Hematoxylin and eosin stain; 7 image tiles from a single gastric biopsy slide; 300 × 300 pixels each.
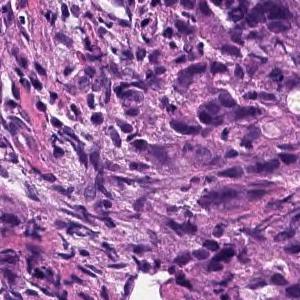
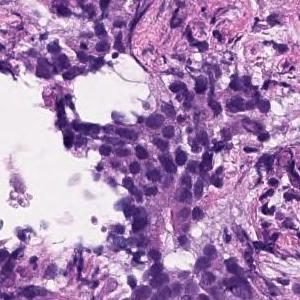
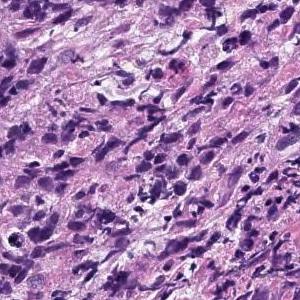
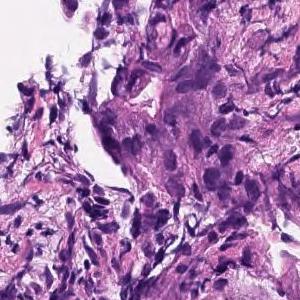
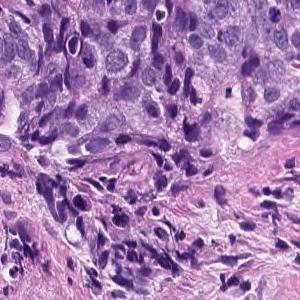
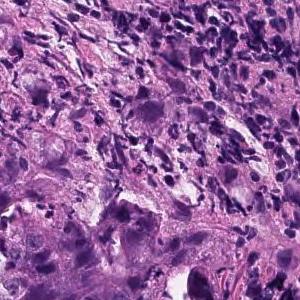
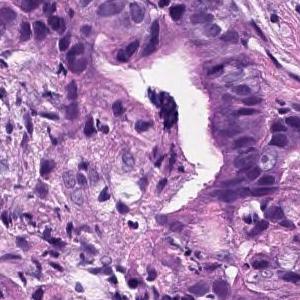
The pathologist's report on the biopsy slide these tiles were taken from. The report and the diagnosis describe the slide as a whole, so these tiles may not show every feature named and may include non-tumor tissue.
Medium to small, irregular glandular ducts are formed in the superficial epithelium, and in some cases, the glandular ducts are fused to show solid alveolar lesions and infiltrating tumor tissue is observed. Moderately to poorly differentiated adenocarcinoma.
